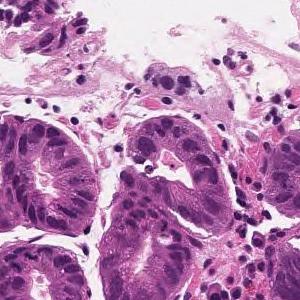
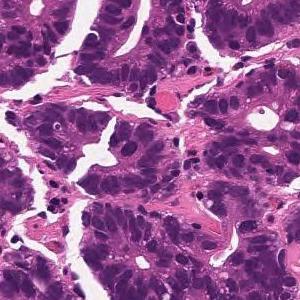
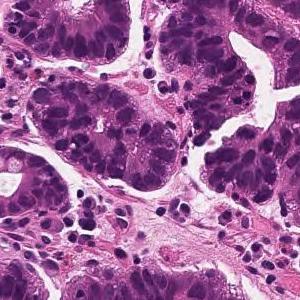
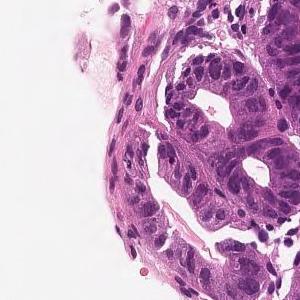
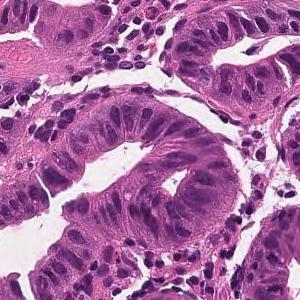
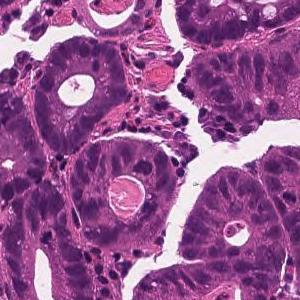
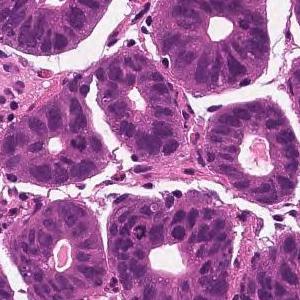
Hematoxylin and eosin stain, ×20, 7 tiles cut from one stomach biopsy slide, 300×300 px each.
The pathologist's report on the biopsy slide these tiles were taken from. The report and the diagnosis cover the entire slide, so not every feature they name need be visible here, and some tissue shown may not be tumor.
From the superficial epithelium to the muscularis mucosae, tumor tissue consisting of medium-sized and irregular glandular ducts infiltrating is observed. Well differentiated tubular adenocarcinoma
